H&E, ×20, 8 image tiles from a single gastric biopsy slide.
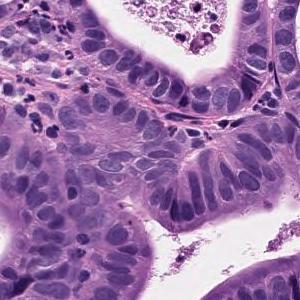
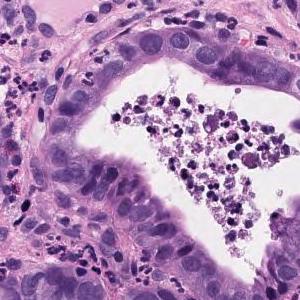
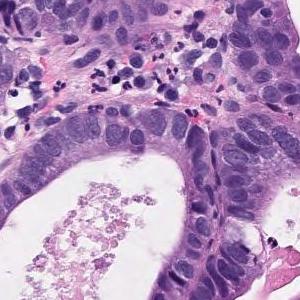
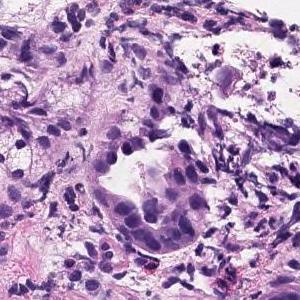
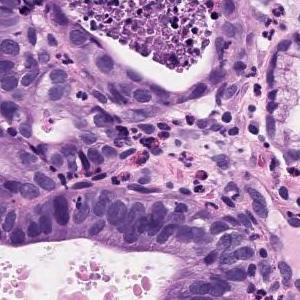
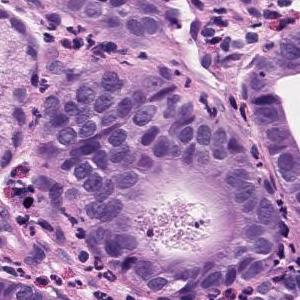
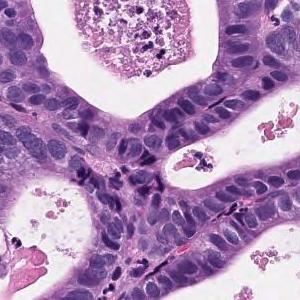
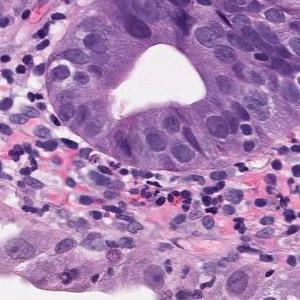
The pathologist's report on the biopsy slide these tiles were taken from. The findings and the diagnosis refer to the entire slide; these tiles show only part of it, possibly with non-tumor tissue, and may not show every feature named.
Tumor tissue consisting of proliferative medium to large, round or irregular glandular ducts in the superficial epithelium. Well differentiated adenocarcinoma.
Classified as well differentiated tubular adenocarcinoma.
